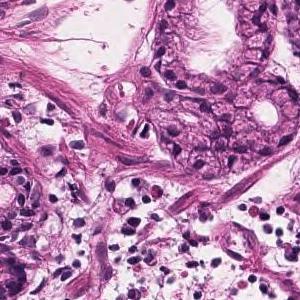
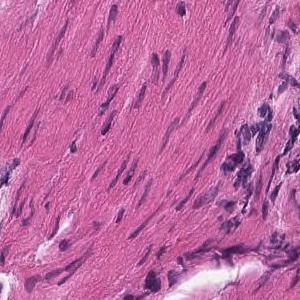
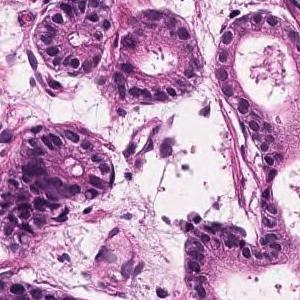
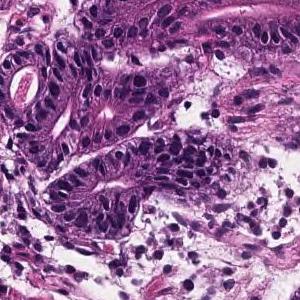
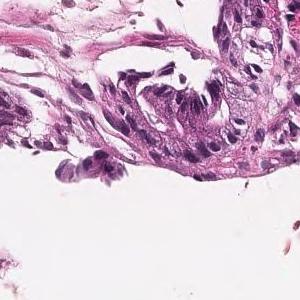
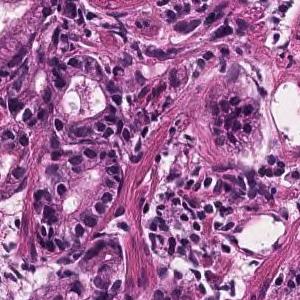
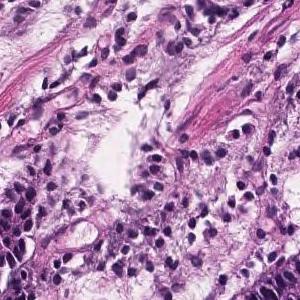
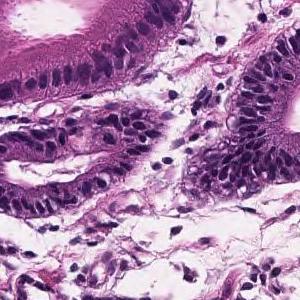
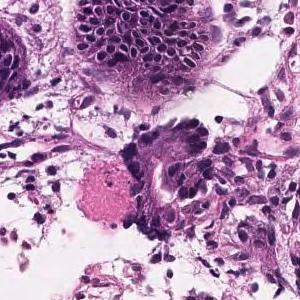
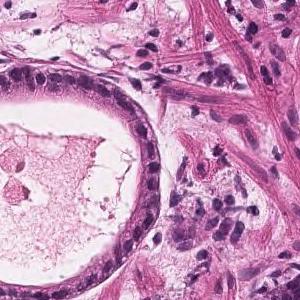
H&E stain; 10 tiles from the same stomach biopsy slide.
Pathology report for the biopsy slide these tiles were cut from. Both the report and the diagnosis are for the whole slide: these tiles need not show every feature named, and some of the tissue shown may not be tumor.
Tumor tissue with atypical epithelium showing irregular ductal or sieving ductal structure and proliferating is observed. Well to moderately differentiated tubular adenocarcinoma (well differentiated tubular adenocarcinoma-moderately differentiated tubular adenocarcinoma)
Tumor subtype: well to moderately differentiated tubular adenocarcinoma.
